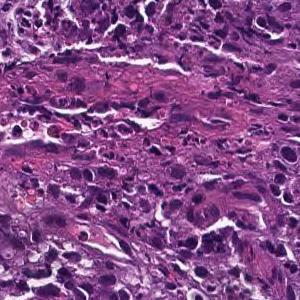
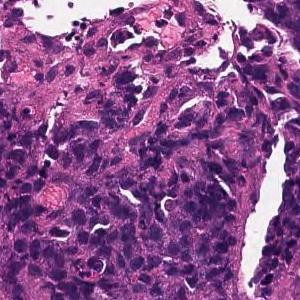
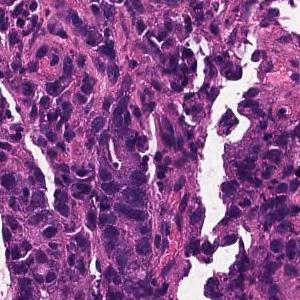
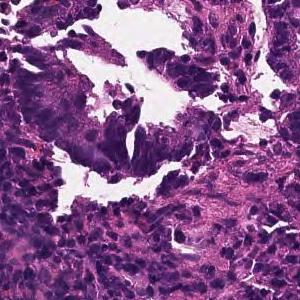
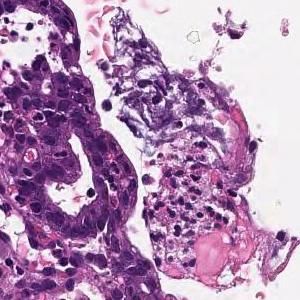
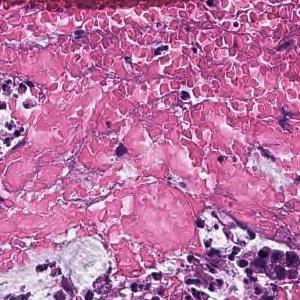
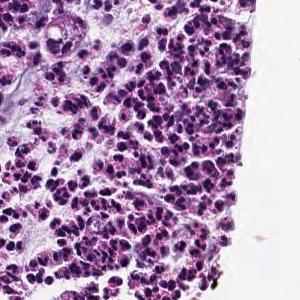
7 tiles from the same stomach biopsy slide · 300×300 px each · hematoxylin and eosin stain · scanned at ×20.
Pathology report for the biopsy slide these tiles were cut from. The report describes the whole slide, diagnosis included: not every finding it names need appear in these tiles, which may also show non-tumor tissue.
On the superficial epithelium, tumor tissue consisting of large irregular glandular ducts partially fused and infiltrated is observed. Well to moderately differentiated tubular adenocarcinoma (well differentiated tubular adenocarcinoma, moderately differentiated tubular adenocarcinoma)
Classified as well to moderately differentiated tubular adenocarcinoma.
